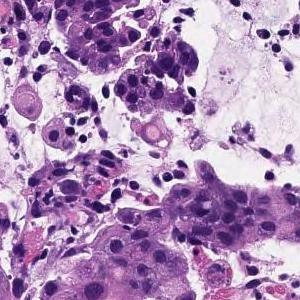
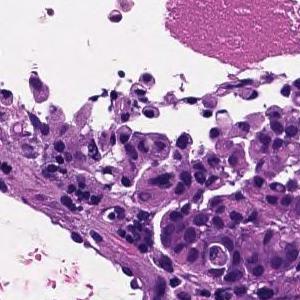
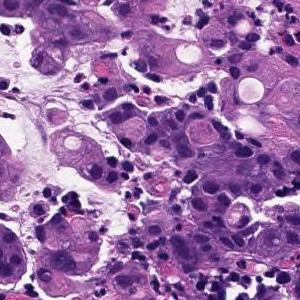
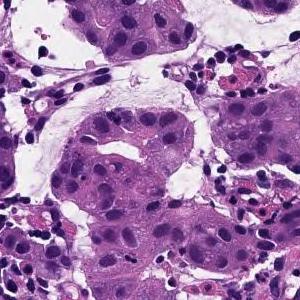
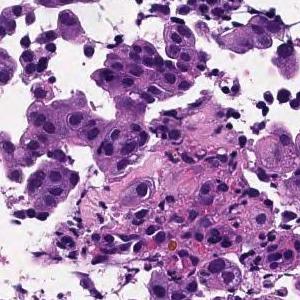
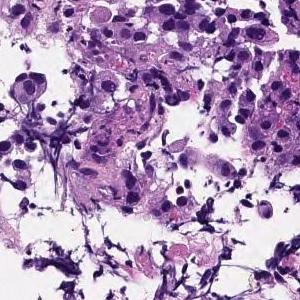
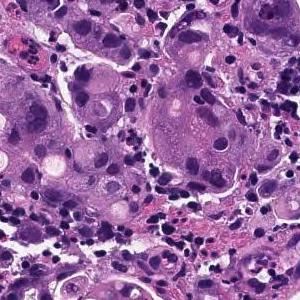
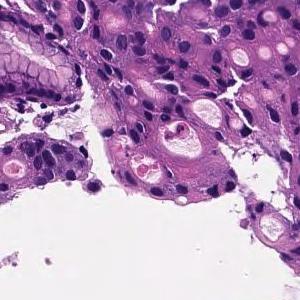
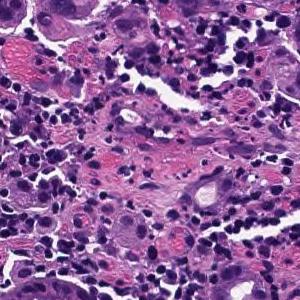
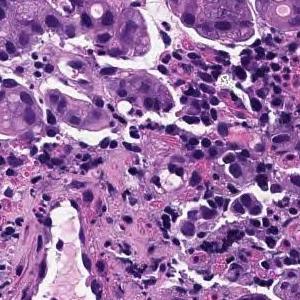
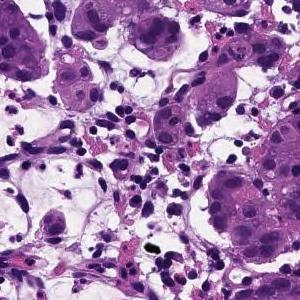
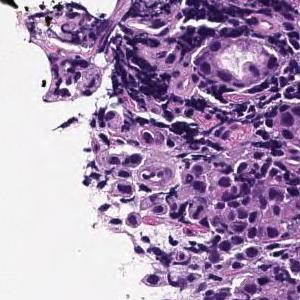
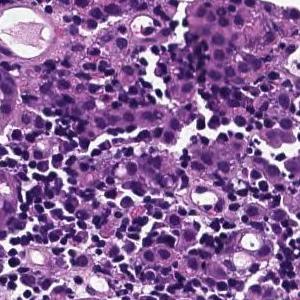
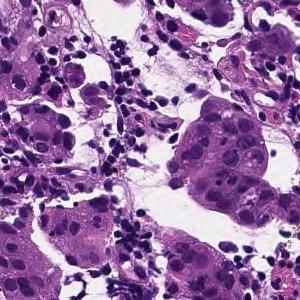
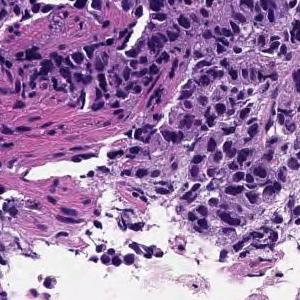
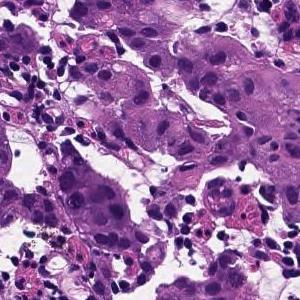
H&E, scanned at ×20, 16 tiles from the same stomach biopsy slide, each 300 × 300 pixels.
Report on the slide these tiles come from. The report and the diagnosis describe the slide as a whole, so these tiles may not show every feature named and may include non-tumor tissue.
The superficial epithelium shows a large sheet-like shape, and some tumor tissue infiltrates with small irregular ducts. Poorly differentiated adenocarcinoma, solid-type
Tumor subtype: poorly differentiated adenocarcinoma, solid type (Japanese Classification of Gastric Carcinoma). The WHO 2019 equivalent is tubular adenocarcinoma, poorly differentiated.
